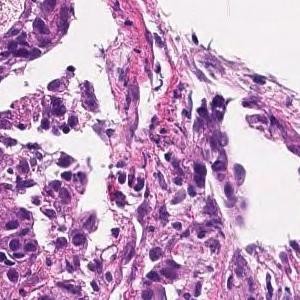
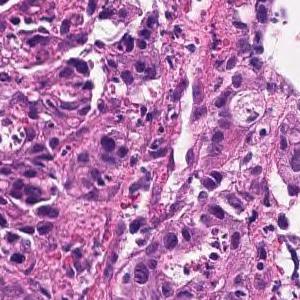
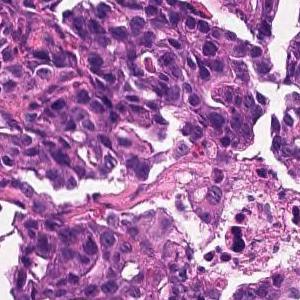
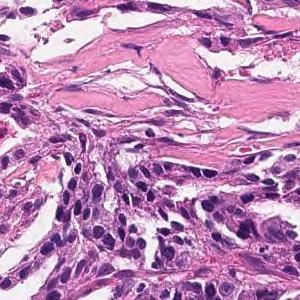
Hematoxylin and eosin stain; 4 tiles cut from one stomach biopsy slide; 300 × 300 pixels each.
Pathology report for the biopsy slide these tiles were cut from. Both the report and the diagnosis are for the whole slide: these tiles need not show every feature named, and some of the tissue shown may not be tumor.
On the superficial epithelium, tumor tissue consisting of images of small to medium-sized and irregular tubules infiltrating with irregular fusion is observed. moderately differentiated tubular adenocarcinoma
